4 tiles from the same stomach biopsy slide · H&E · 20× magnification.
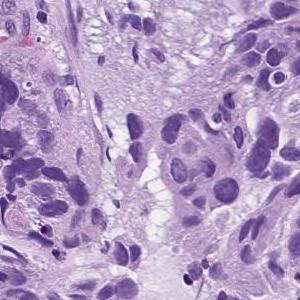
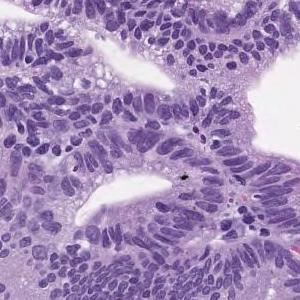
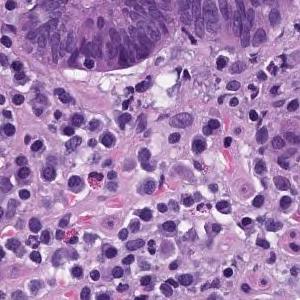
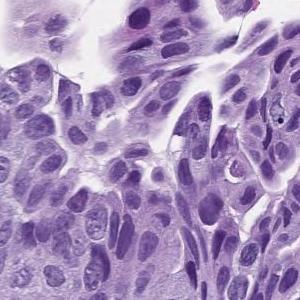
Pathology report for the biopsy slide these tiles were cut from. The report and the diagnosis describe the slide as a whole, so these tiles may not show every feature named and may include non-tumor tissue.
In the superficial epithelium, tumor tissue that invades by forming medium-sized to small, irregular ducts is observed. moderately differentiated tubular adenocarcinoma.
